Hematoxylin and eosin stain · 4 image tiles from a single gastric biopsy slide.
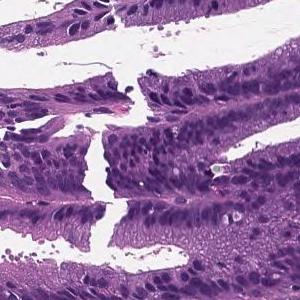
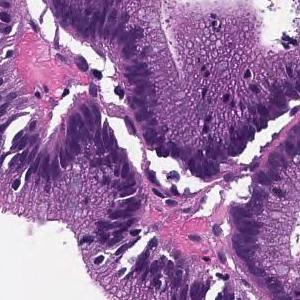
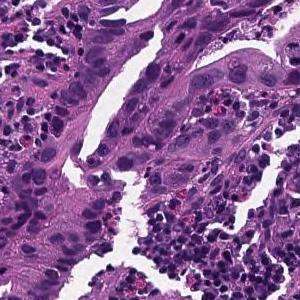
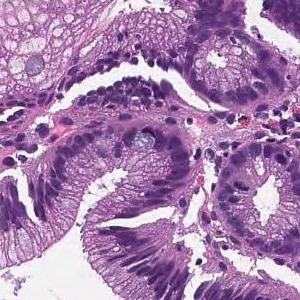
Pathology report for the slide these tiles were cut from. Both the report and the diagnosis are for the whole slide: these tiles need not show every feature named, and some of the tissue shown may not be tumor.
From the superficial epithelium to the muscularis mucosae, tumor tissue consisting of medium-sized and irregular glandular ducts infiltrating is observed. Well differentiated tubular adenocarcinoma
